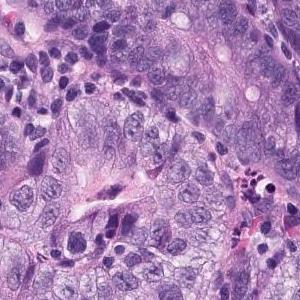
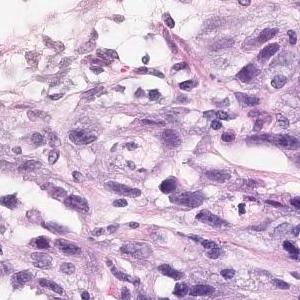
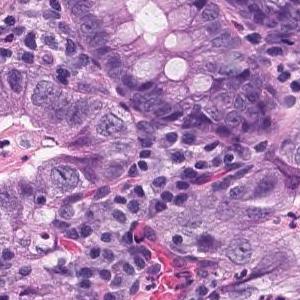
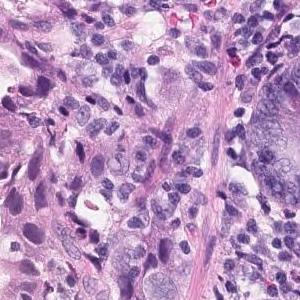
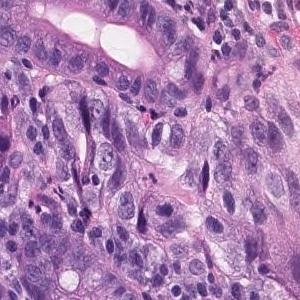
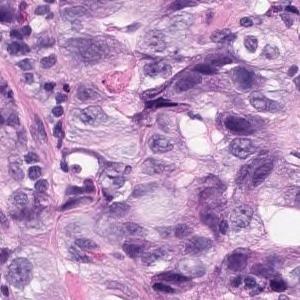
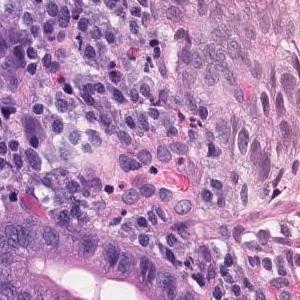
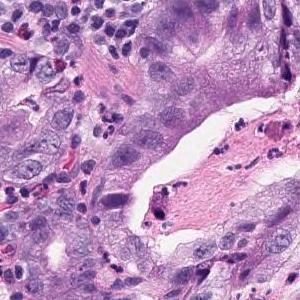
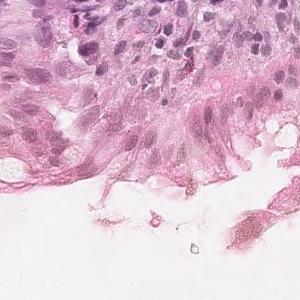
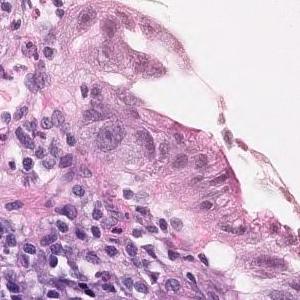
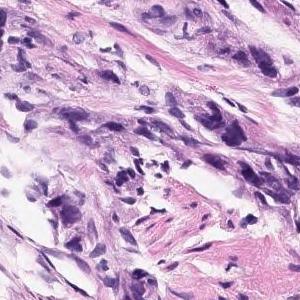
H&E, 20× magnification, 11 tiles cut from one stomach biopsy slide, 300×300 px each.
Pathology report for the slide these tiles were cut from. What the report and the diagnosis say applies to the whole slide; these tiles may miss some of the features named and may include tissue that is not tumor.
In the superficial epithelium, tumor tissue that invades by forming medium-sized to small irregular glandular ducts is observed. Moderately differentiated adenocarcinoma.
Subtype: Moderately differentiated tubular adenocarcinoma.
